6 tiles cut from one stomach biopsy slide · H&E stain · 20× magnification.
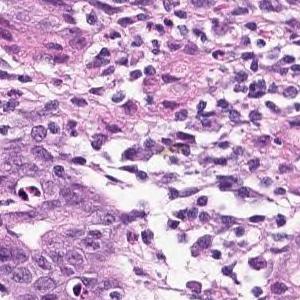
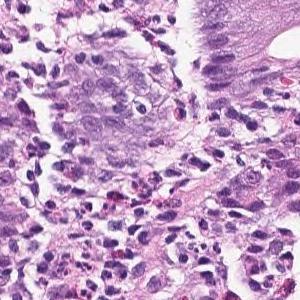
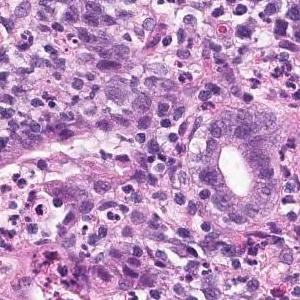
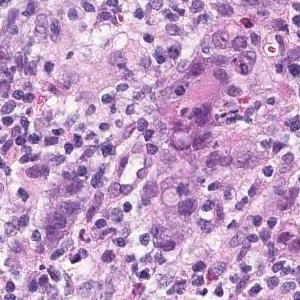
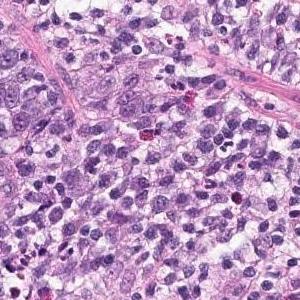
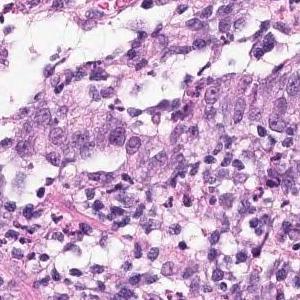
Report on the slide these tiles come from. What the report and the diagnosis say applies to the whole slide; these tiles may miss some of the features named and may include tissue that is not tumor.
Medium to small atypical epithelial cells that become cord-like or irregularly agglomerated and infiltrate. Poorly differentiated adenocarcinoma
Tumor subtype: poorly differentiated adenocarcinoma, solid type, a category of the Japanese Classification of Gastric Carcinoma; in the WHO 2019 classification it is tubular adenocarcinoma, poorly differentiated.
